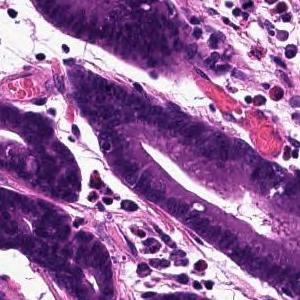
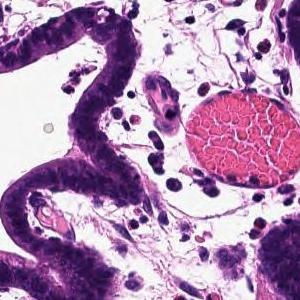
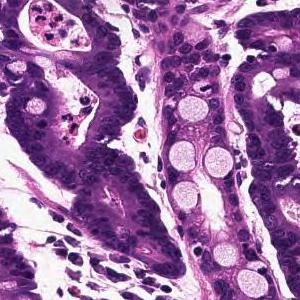
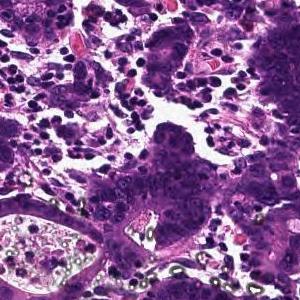
4 tiles from the same stomach biopsy slide; H&E stain.
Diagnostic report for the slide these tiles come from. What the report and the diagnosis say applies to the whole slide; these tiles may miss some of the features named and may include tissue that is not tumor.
Tumor tissue that infiltrates by forming large papillary or large irregular glandular ducts is observed confined to the mucosa. Papillary adenocarcinoma
